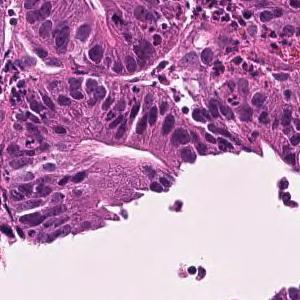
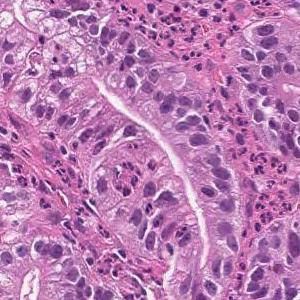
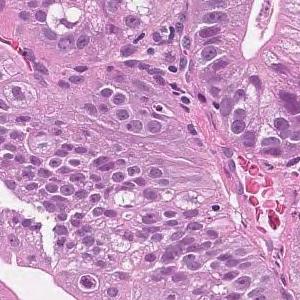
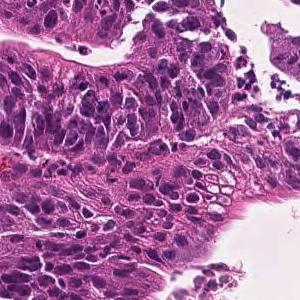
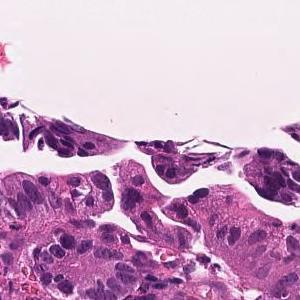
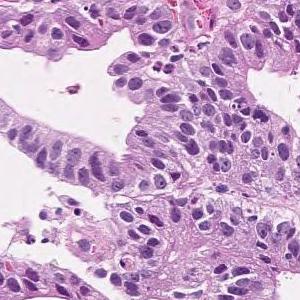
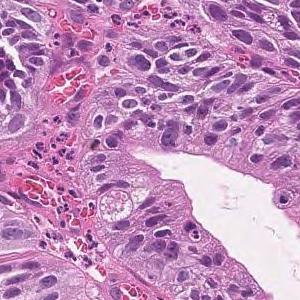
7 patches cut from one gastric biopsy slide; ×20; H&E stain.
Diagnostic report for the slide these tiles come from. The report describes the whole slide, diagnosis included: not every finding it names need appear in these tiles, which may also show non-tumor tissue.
Tumor cells are large, highly columnar, large club-shaped nuclei, and are associated with chromatin aggregation. Papillary adenocarcinoma.
